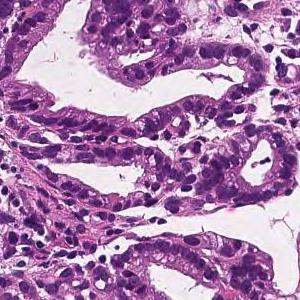
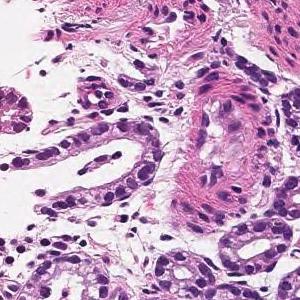
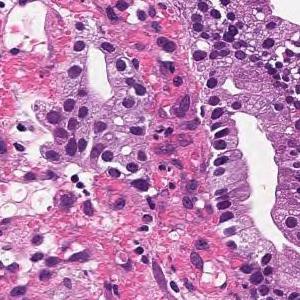
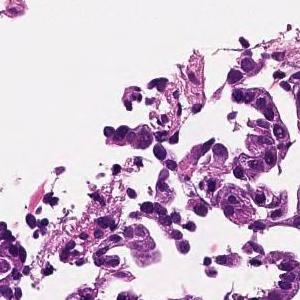
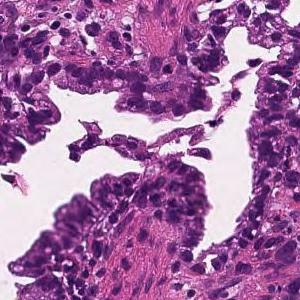
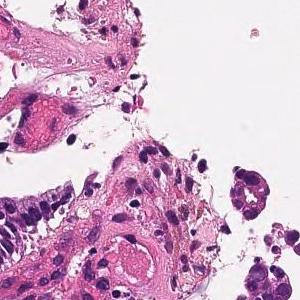
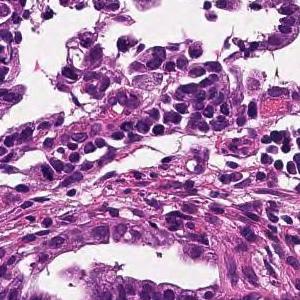
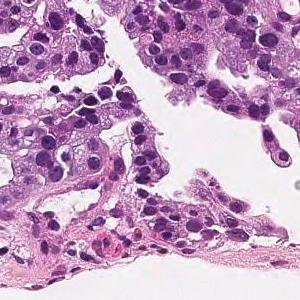
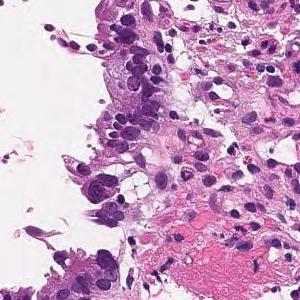
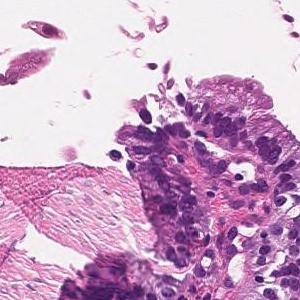
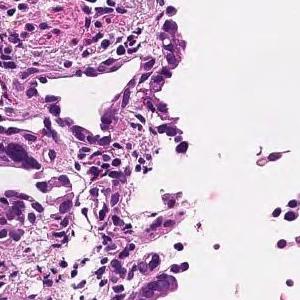
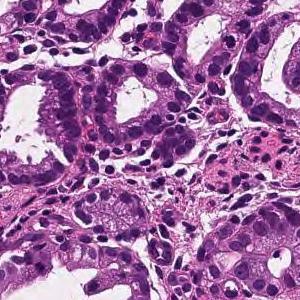
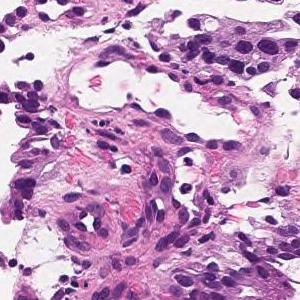
13 patches cut from one gastric biopsy slide, 300 × 300 pixels each.
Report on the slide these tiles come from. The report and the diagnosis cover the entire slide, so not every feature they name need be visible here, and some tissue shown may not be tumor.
On the superficial epithelium, tumor tissue that infiltrates by forming medium-sized papillary or small irregular ducts is observed. Papillary adenocarcinoma
